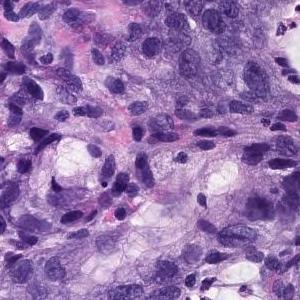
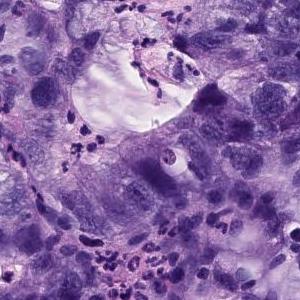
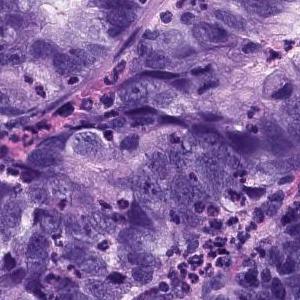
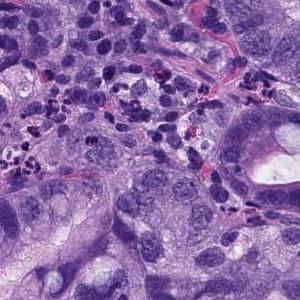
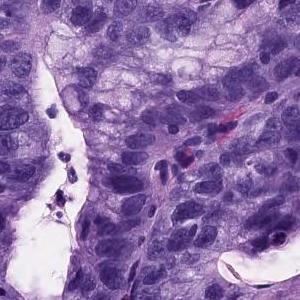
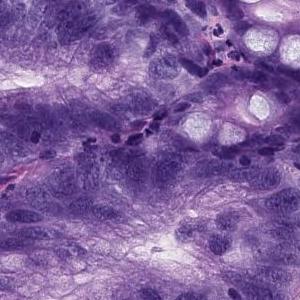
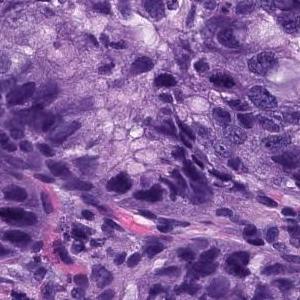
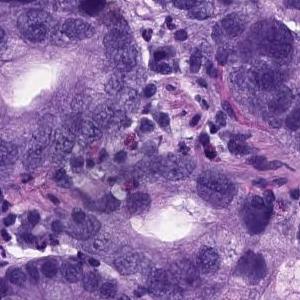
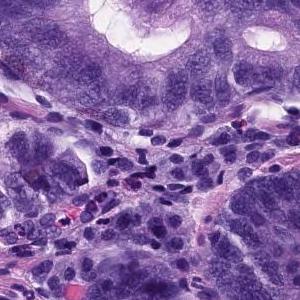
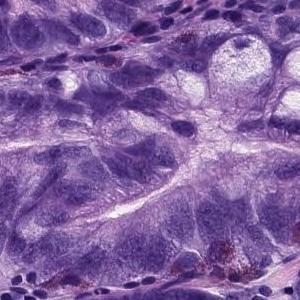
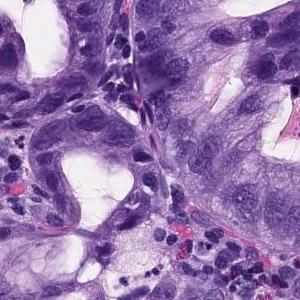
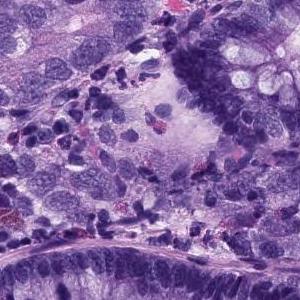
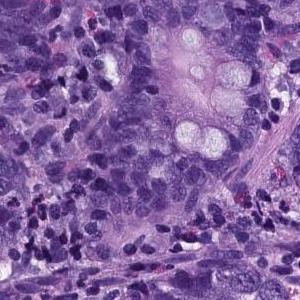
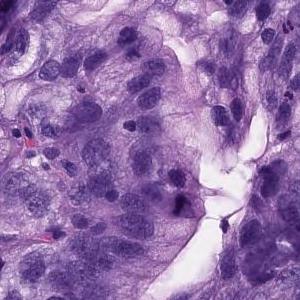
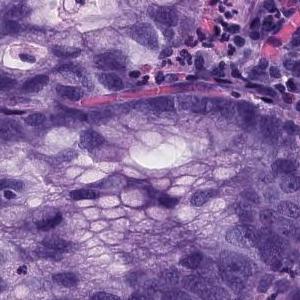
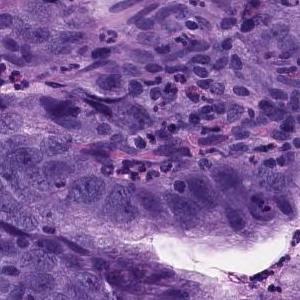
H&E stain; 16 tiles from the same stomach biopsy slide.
Pathology report for the slide these tiles were cut from. The report and the diagnosis describe the slide as a whole, so these tiles may not show every feature named and may include non-tumor tissue.
There are large atypical epithelial cells infiltrating and proliferating while forming atypical glandular cavities showing a fusion tendency. Moderately differentiated tubular adenocarcinoma.
